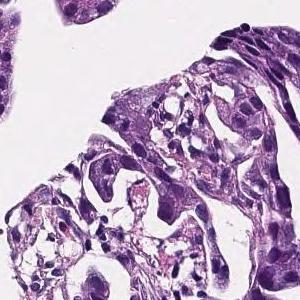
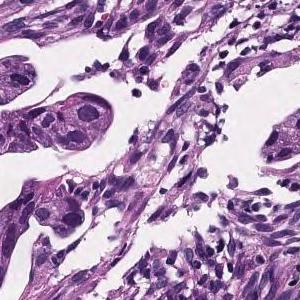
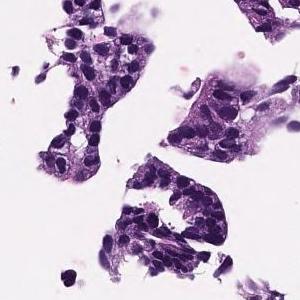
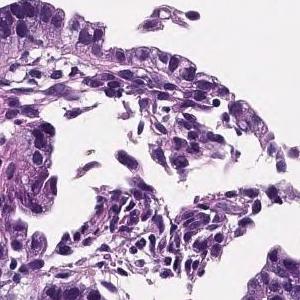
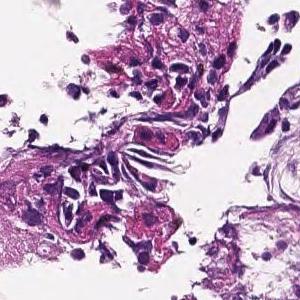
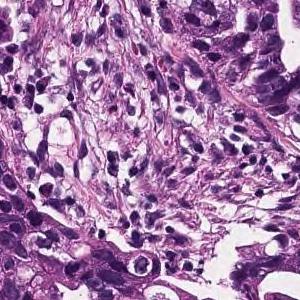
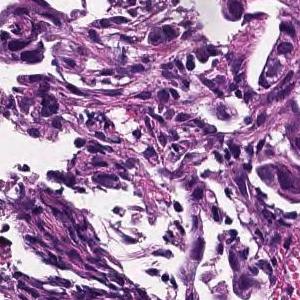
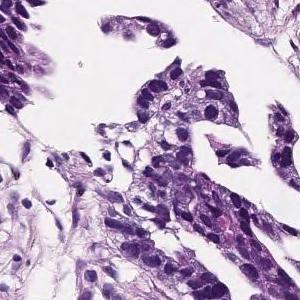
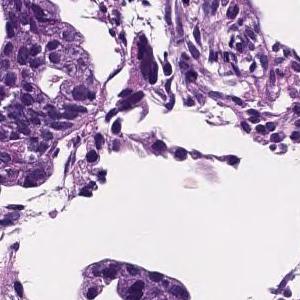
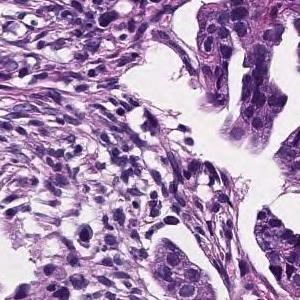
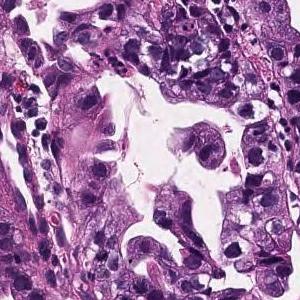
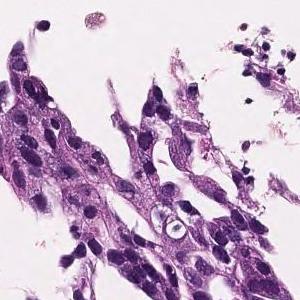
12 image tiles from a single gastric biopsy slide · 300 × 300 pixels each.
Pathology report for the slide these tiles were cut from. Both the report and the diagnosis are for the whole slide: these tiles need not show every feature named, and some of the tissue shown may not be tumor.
In the lamina propria, tumor tissue that invades by forming medium-sized to small, irregular glandular ducts is observed. moderately differentiated tubular adenocarcinoma
